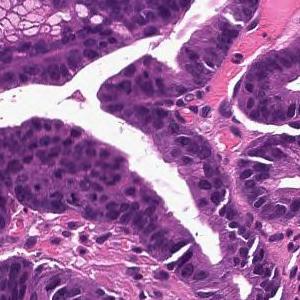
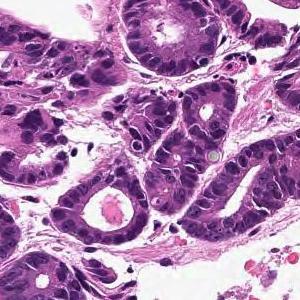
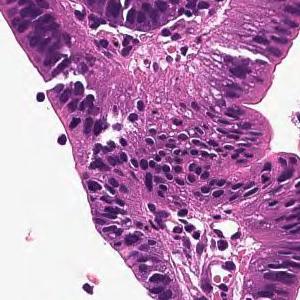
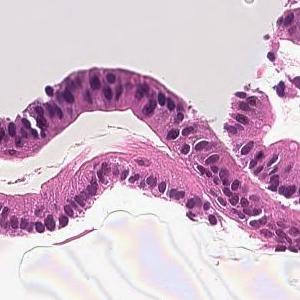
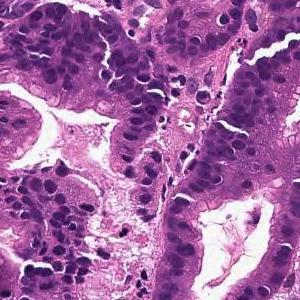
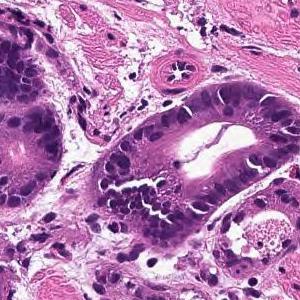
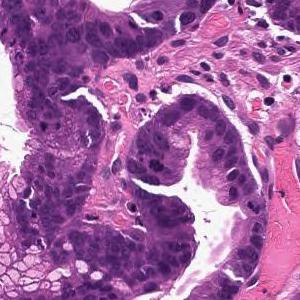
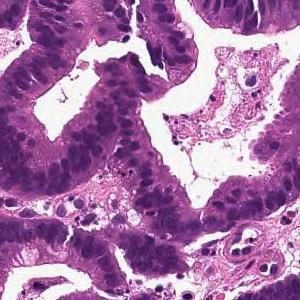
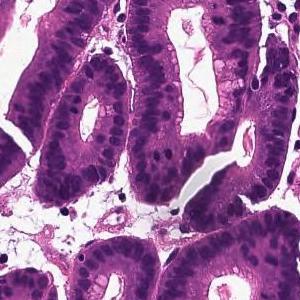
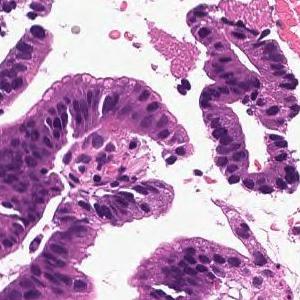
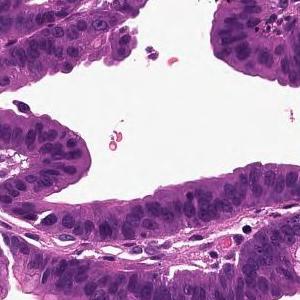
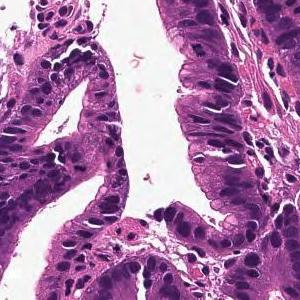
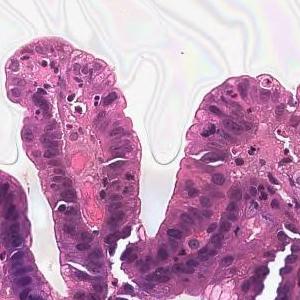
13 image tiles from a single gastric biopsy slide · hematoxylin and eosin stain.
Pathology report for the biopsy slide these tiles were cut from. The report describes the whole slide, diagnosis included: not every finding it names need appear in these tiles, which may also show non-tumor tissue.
From the superficial epithelium to the muscularis mucosae, tumor tissue consisting of medium-sized and irregular glandular ducts infiltrating is observed. Well differentiated tubular adenocarcinoma
